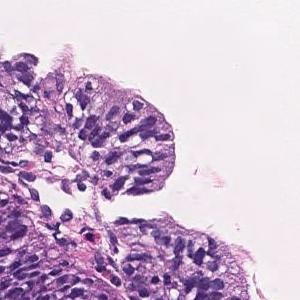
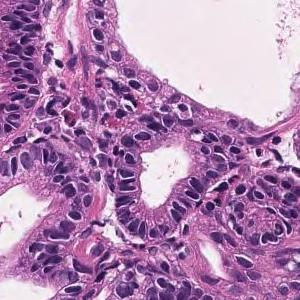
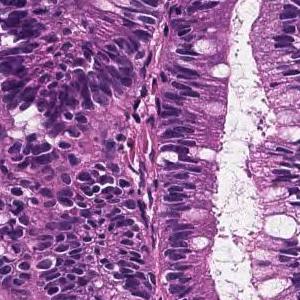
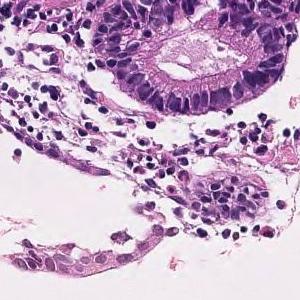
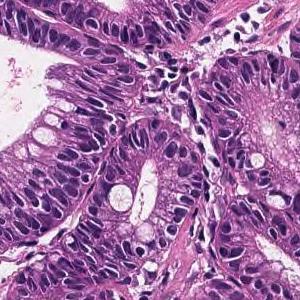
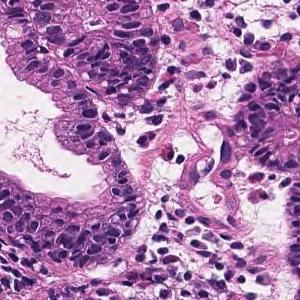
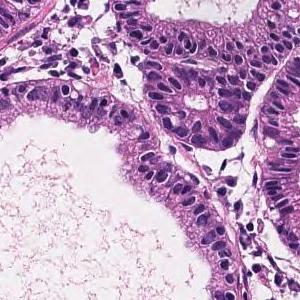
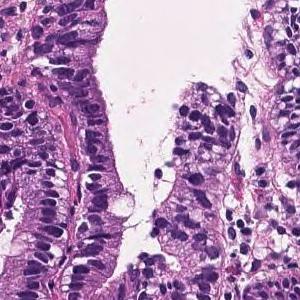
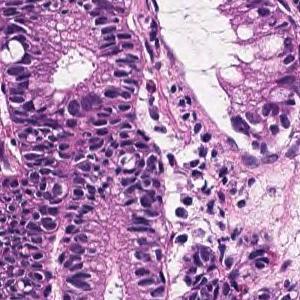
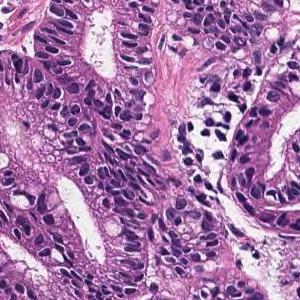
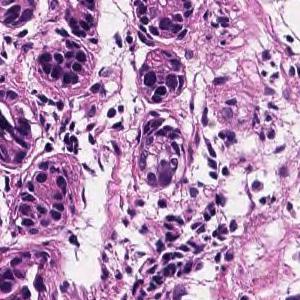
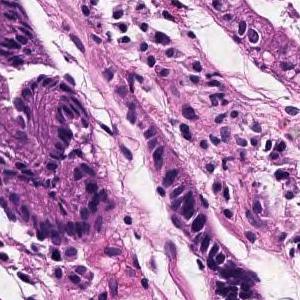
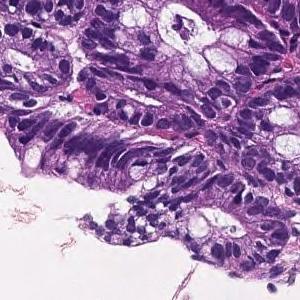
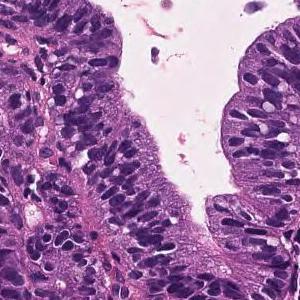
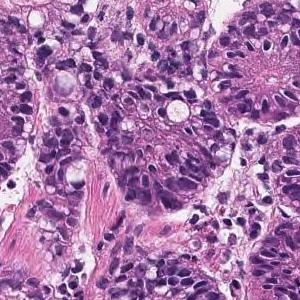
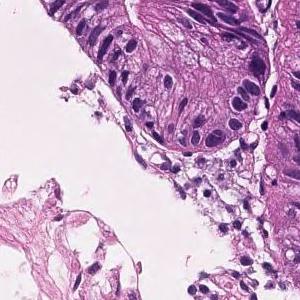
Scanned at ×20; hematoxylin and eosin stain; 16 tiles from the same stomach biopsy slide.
Pathology report for the biopsy slide these tiles were cut from. Both the report and the diagnosis are for the whole slide: these tiles need not show every feature named, and some of the tissue shown may not be tumor.
Most remain in the superficial epithelium, forming medium-sized papillary or small irregular ducts and proliferating, and some tumor tissue invades the muscularis mucosae. Papillary adenocarcinoma
